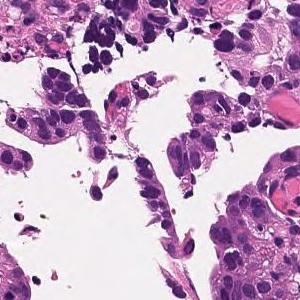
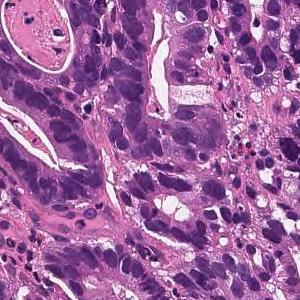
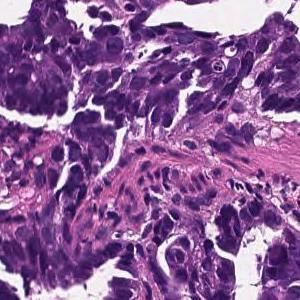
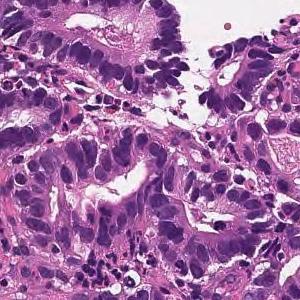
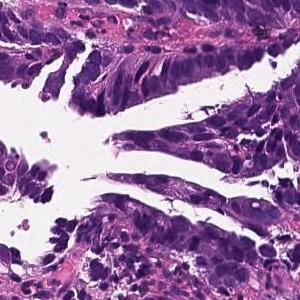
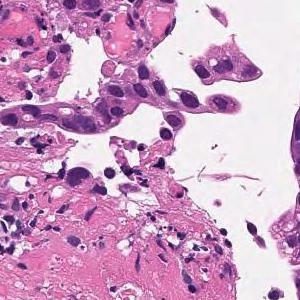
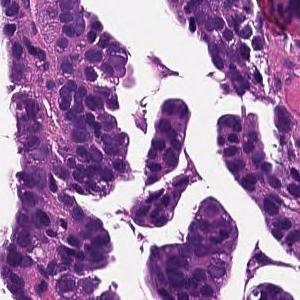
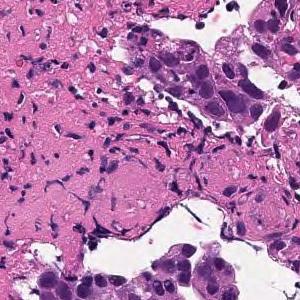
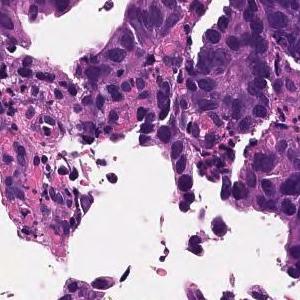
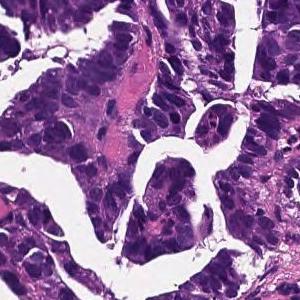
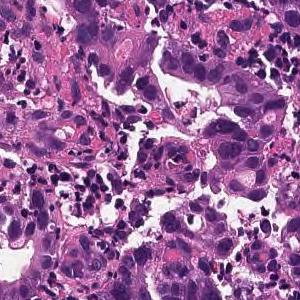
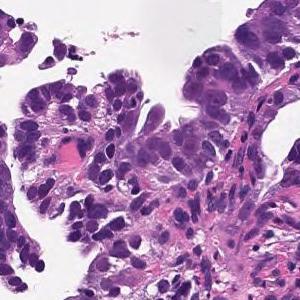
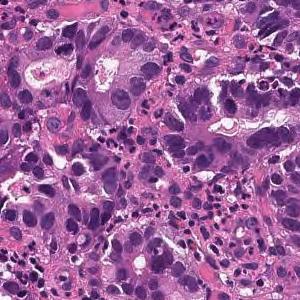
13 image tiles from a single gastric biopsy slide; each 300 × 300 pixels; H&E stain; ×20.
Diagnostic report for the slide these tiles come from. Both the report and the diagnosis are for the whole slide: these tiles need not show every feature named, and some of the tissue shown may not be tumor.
Tumor cells are large, highly columnar, large club-shaped nuclei, and are associated with chromatin aggregation. Papillary adenocarcinoma.
